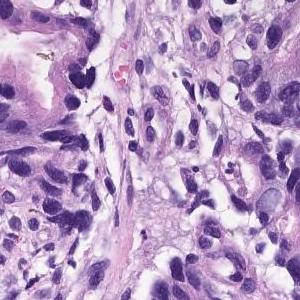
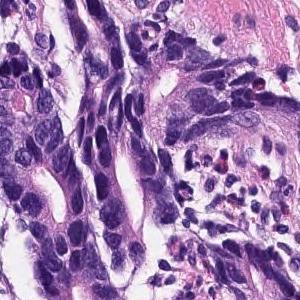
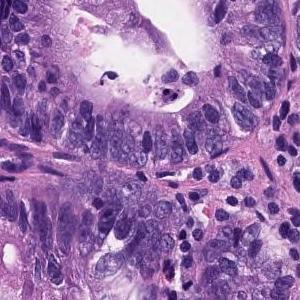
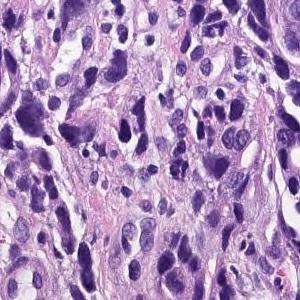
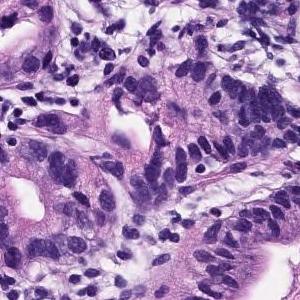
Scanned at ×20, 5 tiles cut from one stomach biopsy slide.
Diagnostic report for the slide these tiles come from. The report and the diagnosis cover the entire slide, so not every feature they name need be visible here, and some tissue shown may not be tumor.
On the superficial epithelium, tumor tissue consisting of images showing invasive growth with small, irregular tubules partially fused is observed. moderately differentiated tubular adenocarcinoma
